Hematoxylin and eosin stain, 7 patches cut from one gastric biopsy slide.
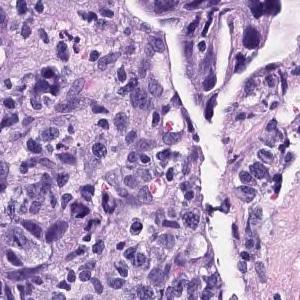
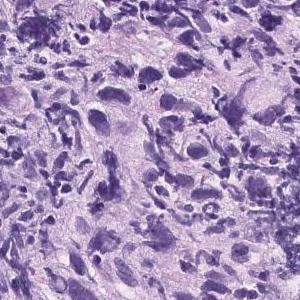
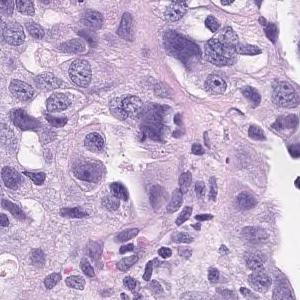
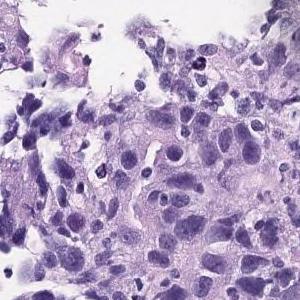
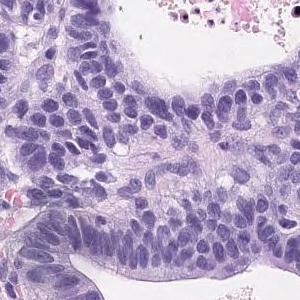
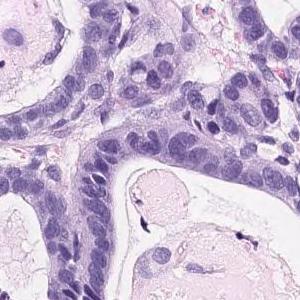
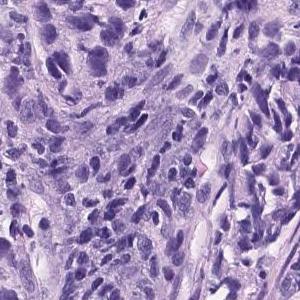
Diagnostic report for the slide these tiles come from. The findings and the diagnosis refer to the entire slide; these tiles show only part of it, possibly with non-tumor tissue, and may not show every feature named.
The superficial epithelium shows a large sheet-like shape, and some tumor tissue infiltrates with small irregular ducts. Poorly differentiated adenocarcinoma, solid-type
Tumor subtype: poorly differentiated adenocarcinoma, solid type (Japanese Classification of Gastric Carcinoma). The WHO 2019 equivalent is tubular adenocarcinoma, poorly differentiated.
